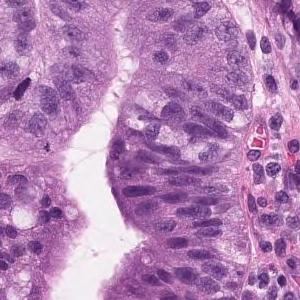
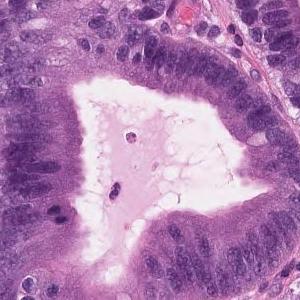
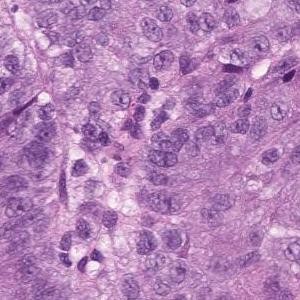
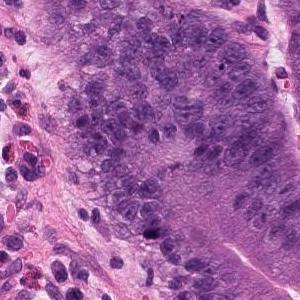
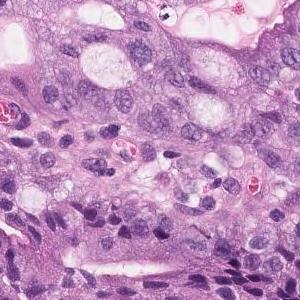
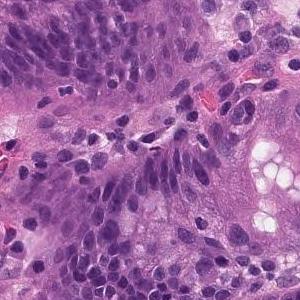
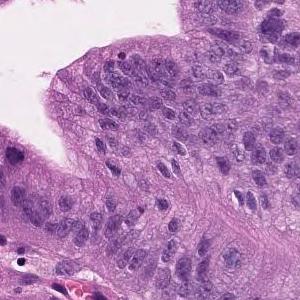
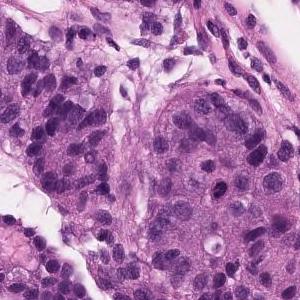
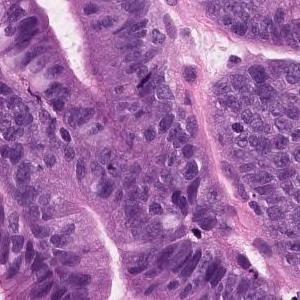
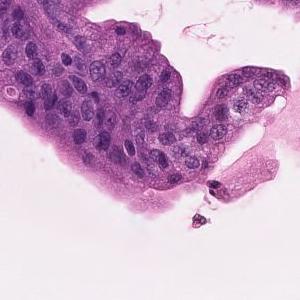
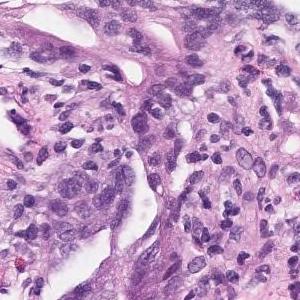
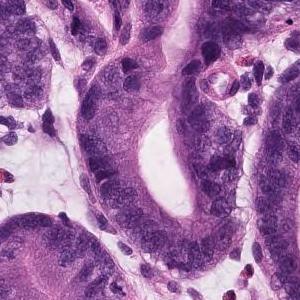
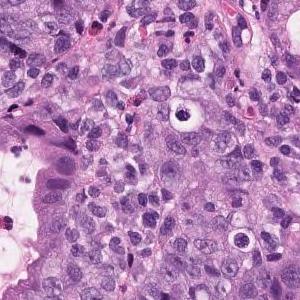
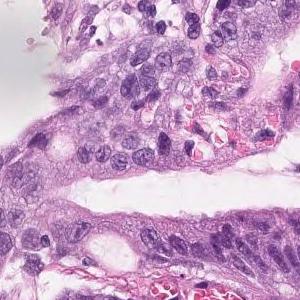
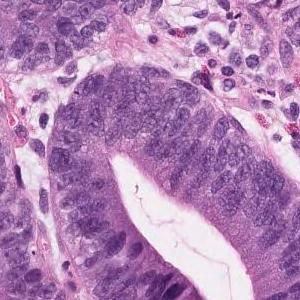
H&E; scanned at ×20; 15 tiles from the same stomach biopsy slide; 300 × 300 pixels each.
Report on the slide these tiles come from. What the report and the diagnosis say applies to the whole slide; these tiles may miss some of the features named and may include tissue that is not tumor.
On the superficial epithelium, tumor tissue consisting of large, irregular glandular ducts partially fused and infiltrated is observed. Well to moderately differentiated tubular adenocarcinoma (well differentiated tubular adenocarcinoma, moderately differentiated tubular adenocarcinoma)
Histologic type: Well to moderately differentiated tubular adenocarcinoma.
